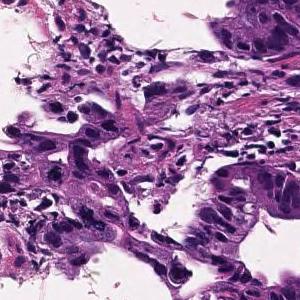
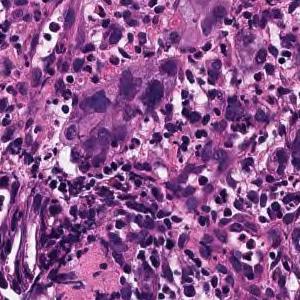
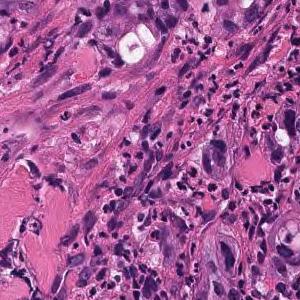
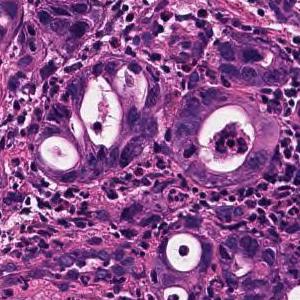
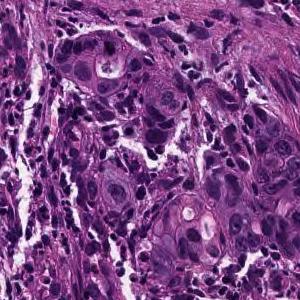
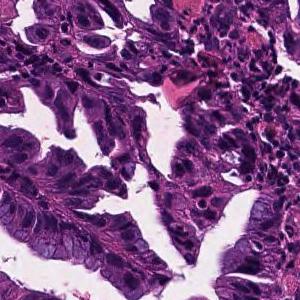
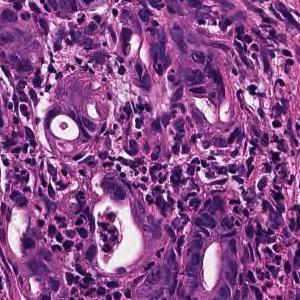
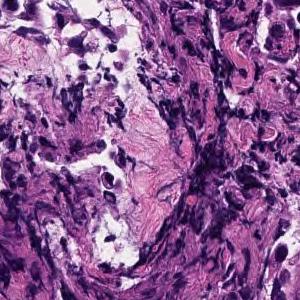
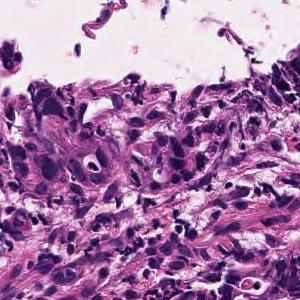
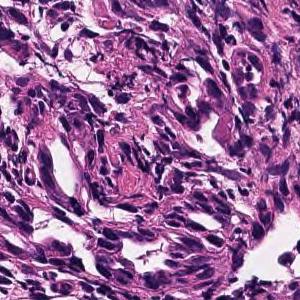
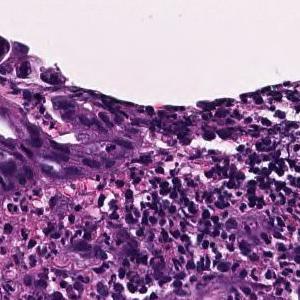
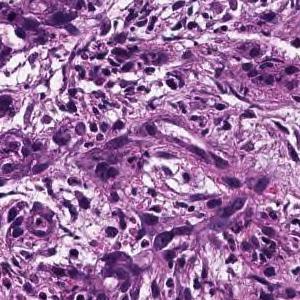
20× magnification; 12 image tiles from a single gastric biopsy slide.
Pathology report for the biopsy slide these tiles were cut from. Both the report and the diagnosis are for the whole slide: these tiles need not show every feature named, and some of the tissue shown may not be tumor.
In the superficial epithelium, medium-sized to small irregular glandular ducts are formed, and in some cases, the glandular ducts are fused or small cord-like infiltrating tumor tissue is observed. moderately differentiated tubular adenocarcinoma
